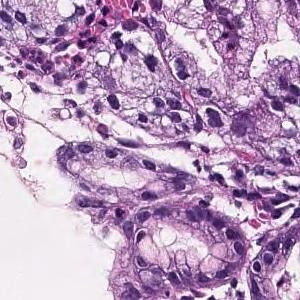
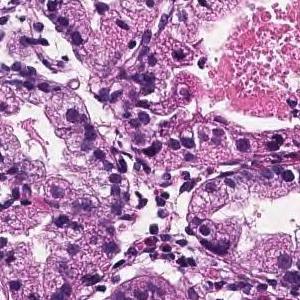
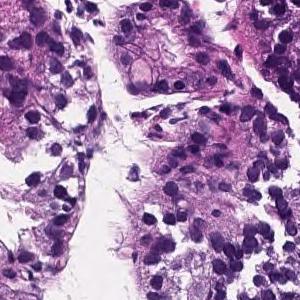
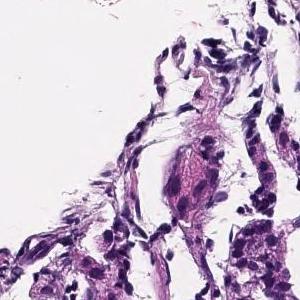
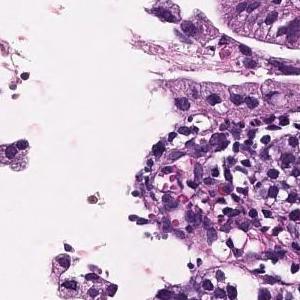
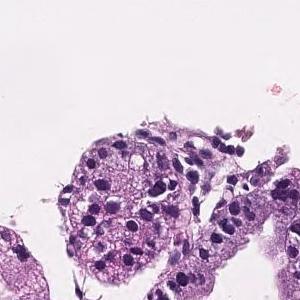
Scanned at ×20, 6 tiles from the same stomach biopsy slide, each 300 × 300 pixels.
The pathologist's report on the biopsy slide these tiles were taken from. The report and the diagnosis cover the entire slide, so not every feature they name need be visible here, and some tissue shown may not be tumor.
In the superficial epithelium, tumor tissue that infiltrates by forming medium-sized papillary or small irregular ducts is observed. Papillary adenocarcinoma
